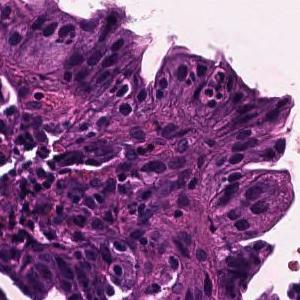
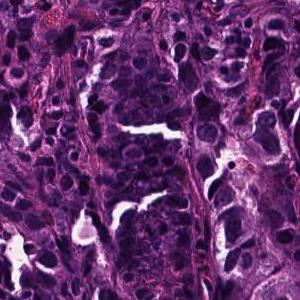
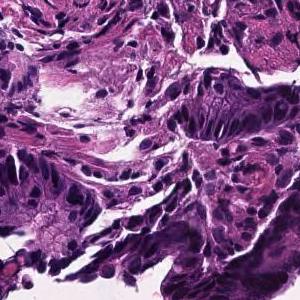
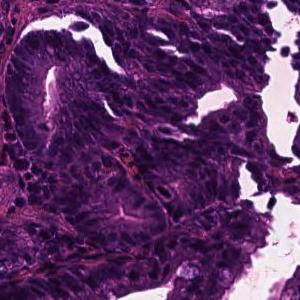
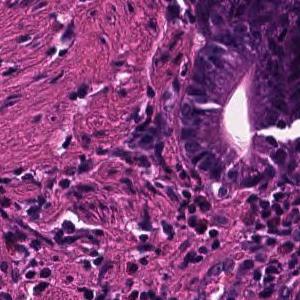
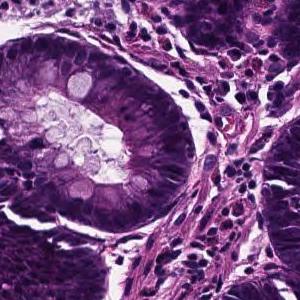
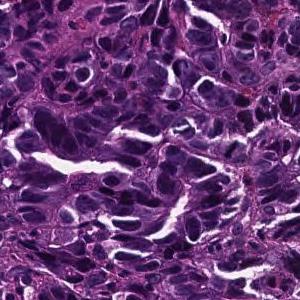
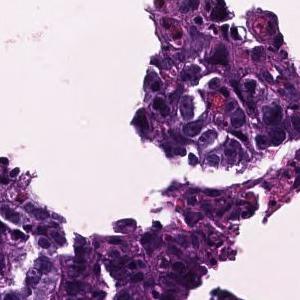
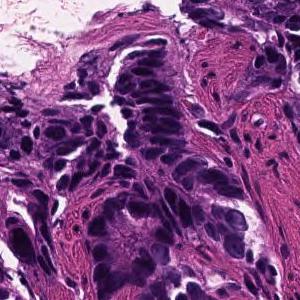
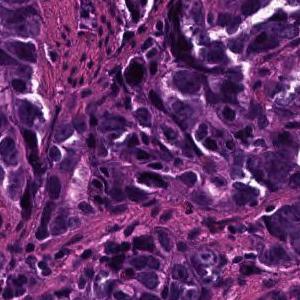
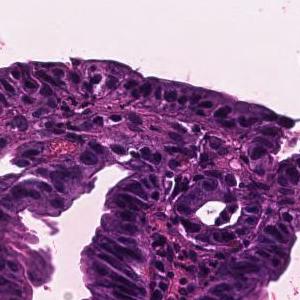
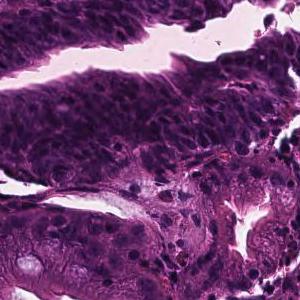
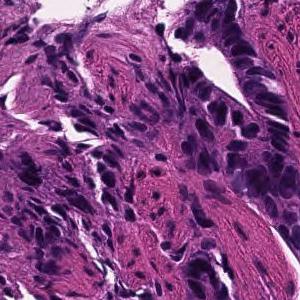
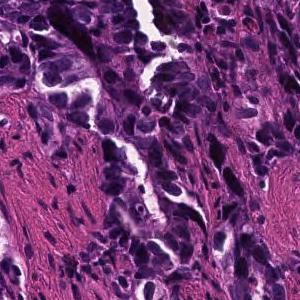
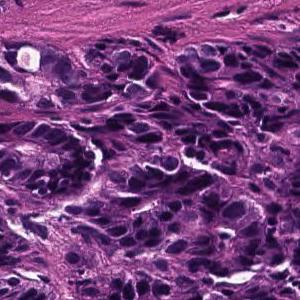
15 image tiles from a single gastric biopsy slide; H&E stain; 20× magnification.
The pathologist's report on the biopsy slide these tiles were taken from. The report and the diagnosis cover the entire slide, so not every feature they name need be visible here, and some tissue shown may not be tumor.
In the superficial epithelium, tumor tissue that invades by forming medium-sized to small, irregular ducts is observed. moderately differentiated tubular adenocarcinoma.
